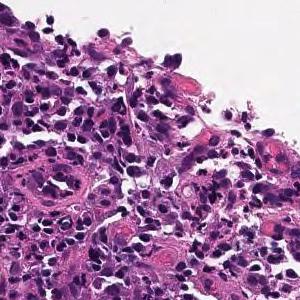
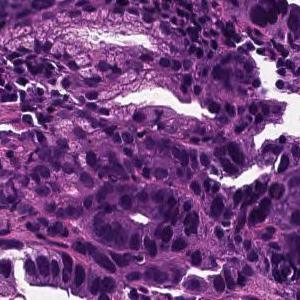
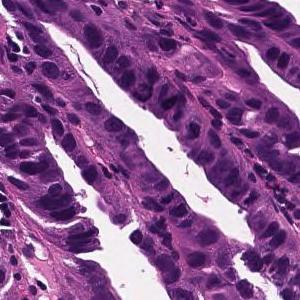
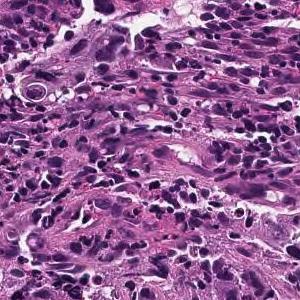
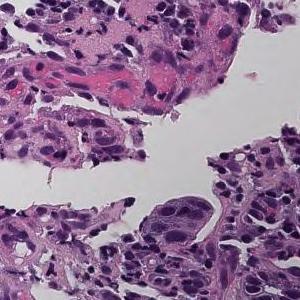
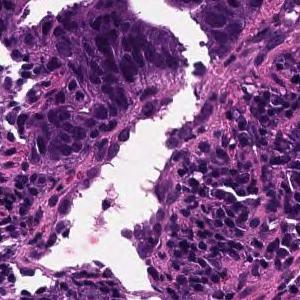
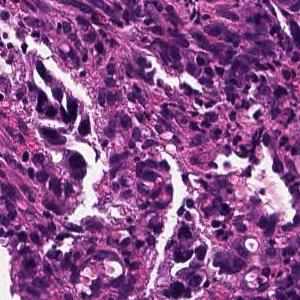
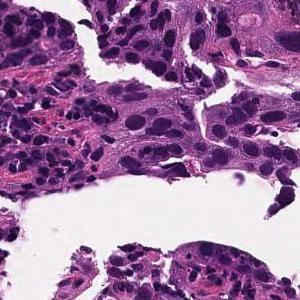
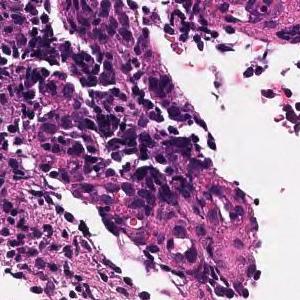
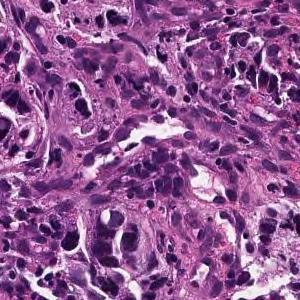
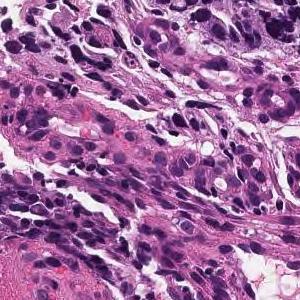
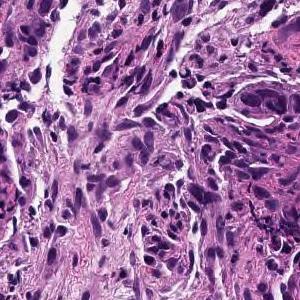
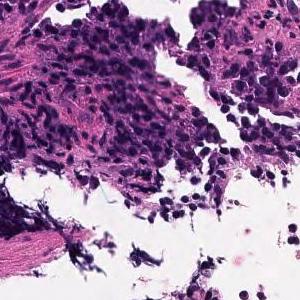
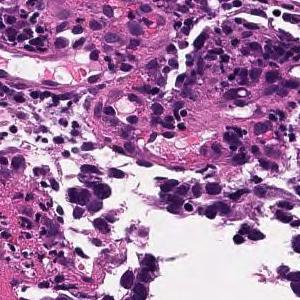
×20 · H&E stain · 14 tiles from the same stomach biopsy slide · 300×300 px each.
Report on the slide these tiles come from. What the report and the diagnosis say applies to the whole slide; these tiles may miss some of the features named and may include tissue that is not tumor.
On the superficial epithelium, tumor tissue consisting of large irregular glandular ducts partially fused and infiltrated is observed. Well to moderately differentiated tubular adenocarcinoma (well differentiated tubular adenocarcinoma, moderately differentiated tubular adenocarcinoma)
Histological subtype: Well to moderately differentiated tubular adenocarcinoma.
